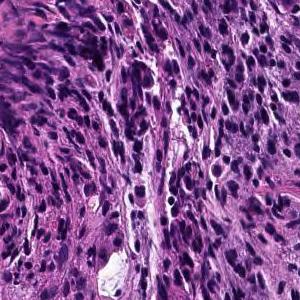
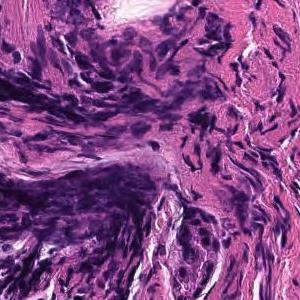
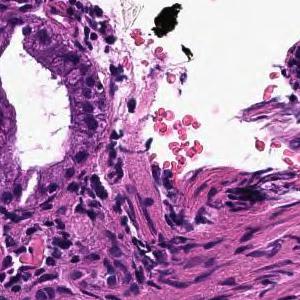
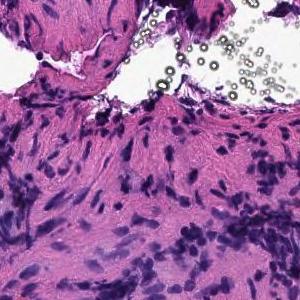
4 tiles cut from one stomach biopsy slide; scanned at ×20; H&E.
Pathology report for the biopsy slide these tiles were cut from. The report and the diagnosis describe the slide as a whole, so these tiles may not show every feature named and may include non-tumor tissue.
The superficial epithelium shows a large sheet-like shape, and some tumor tissue infiltrates with small irregular ducts. Poorly differentiated adenocarcinoma, solid-type
Histological subtype: Poorly differentiated adenocarcinoma, solid type, a category of the Japanese Classification of Gastric Carcinoma; in the WHO 2019 classification it is tubular adenocarcinoma, poorly differentiated.
